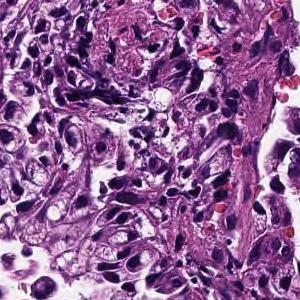
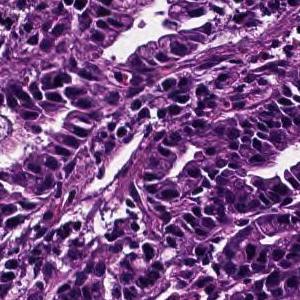
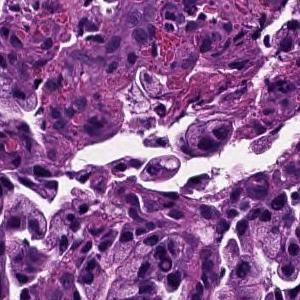
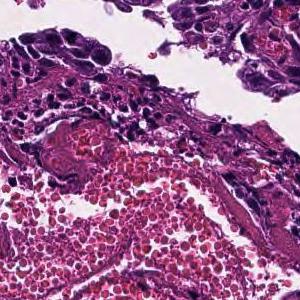
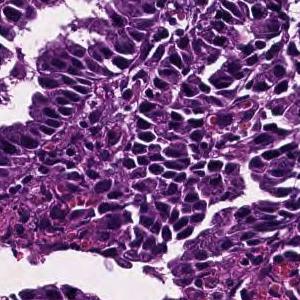
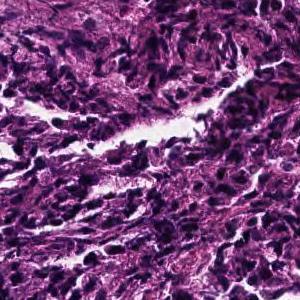
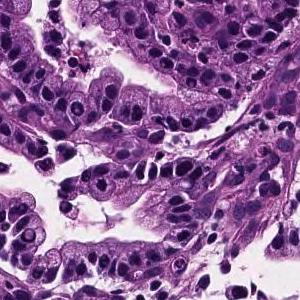
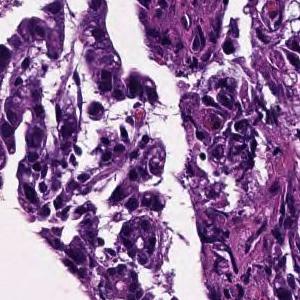
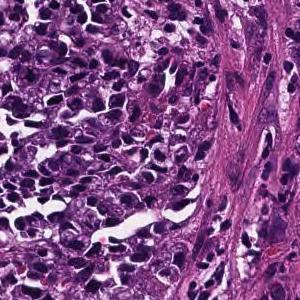
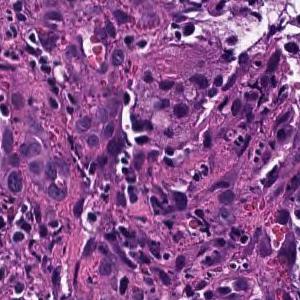
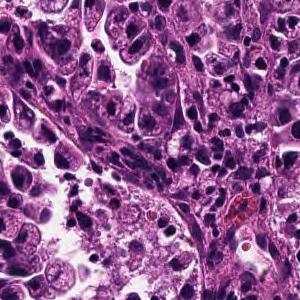
11 tiles cut from one stomach biopsy slide · 300 × 300 pixels each · H&E · scanned at ×20.
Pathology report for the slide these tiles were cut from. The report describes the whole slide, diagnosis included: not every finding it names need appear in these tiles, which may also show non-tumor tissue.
Tumor cells are large, highly columnar, large club-shaped nuclei, and are associated with chromatin aggregation. Papillary adenocarcinoma.
